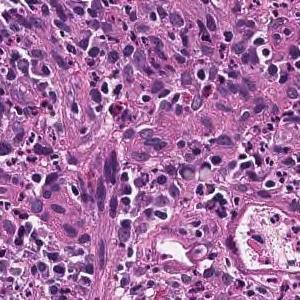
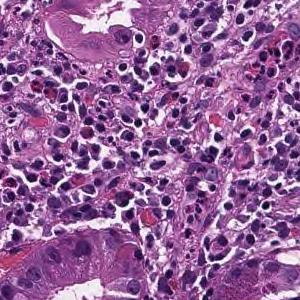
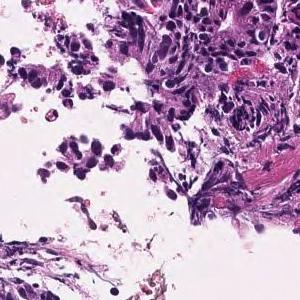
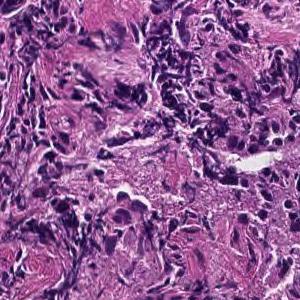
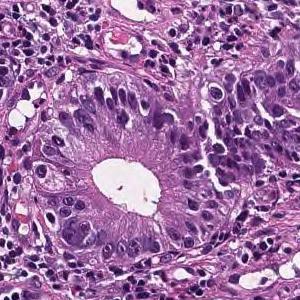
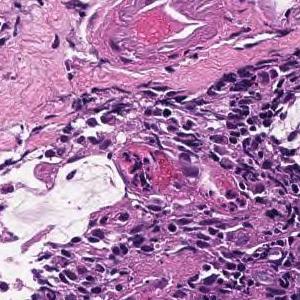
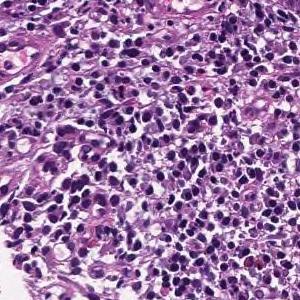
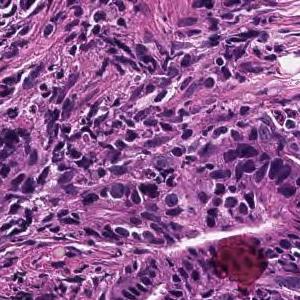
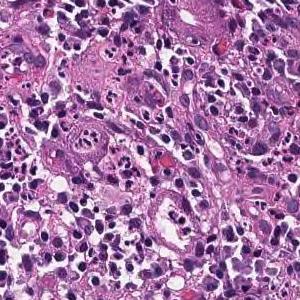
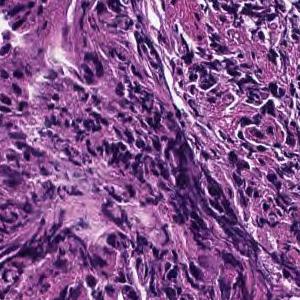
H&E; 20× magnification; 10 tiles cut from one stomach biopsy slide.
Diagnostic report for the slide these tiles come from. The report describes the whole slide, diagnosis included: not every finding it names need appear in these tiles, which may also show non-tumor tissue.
On the superficial epithelium, tumor tissue consisting of large, irregular glandular ducts partially fused and infiltrated is observed. Well to moderately differentiated tubular adenocarcinoma (well differentiated tubular adenocarcinoma, moderately differentiated tubular adenocarcinoma)
Histologic type: Well to moderately differentiated tubular adenocarcinoma.
